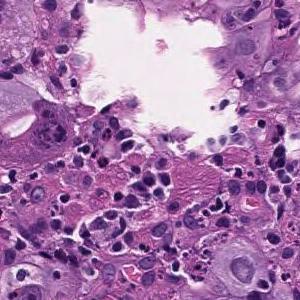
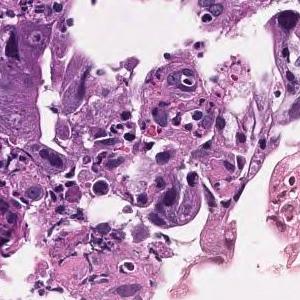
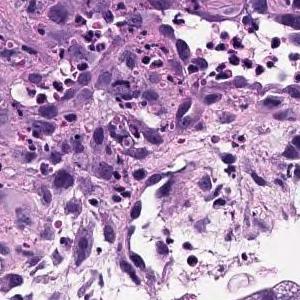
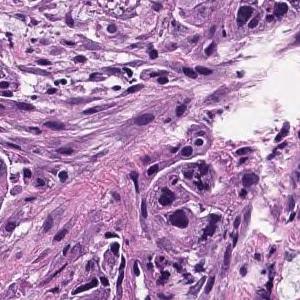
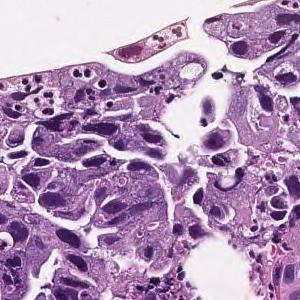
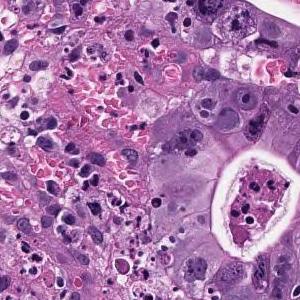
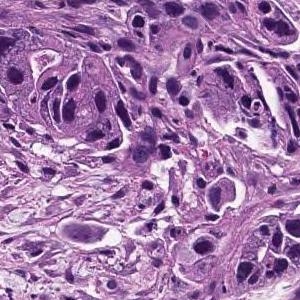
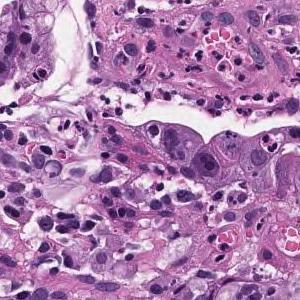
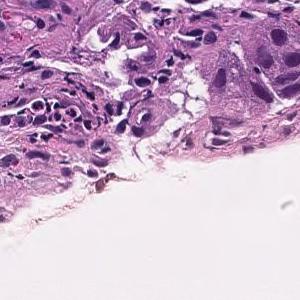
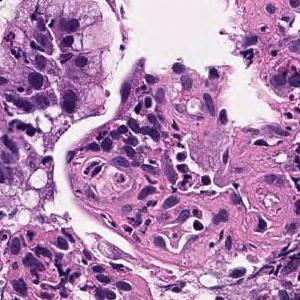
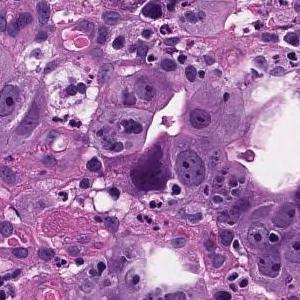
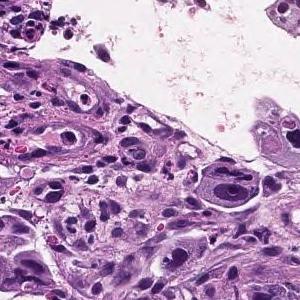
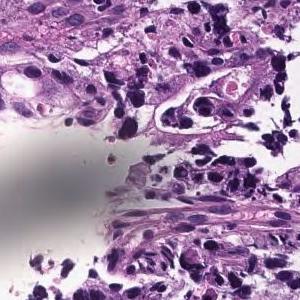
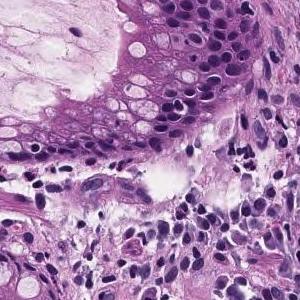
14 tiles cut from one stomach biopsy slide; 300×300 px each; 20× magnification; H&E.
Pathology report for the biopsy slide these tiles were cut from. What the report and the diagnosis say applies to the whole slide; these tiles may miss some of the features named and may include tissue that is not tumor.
In the superficial epithelium, medium to small irregular gland ducts are formed, and in some cases, the ducts are fused to show solid alveolar lesions and infiltrating tumor tissue is observed. Moderately to poorly differentiated adenocarcinoma
